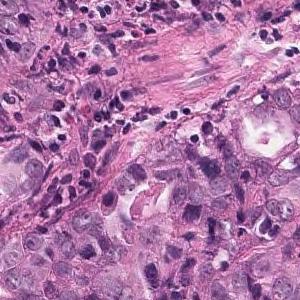
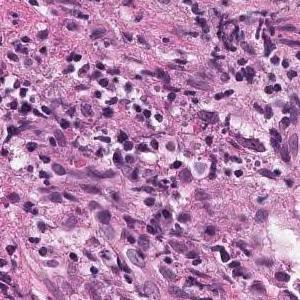
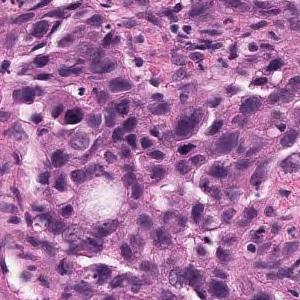
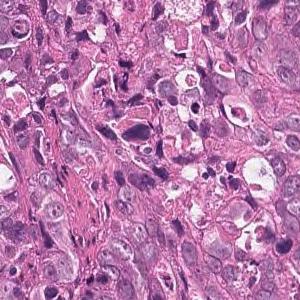
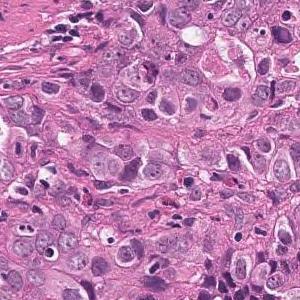
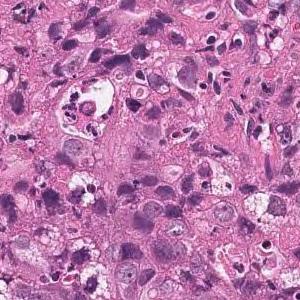
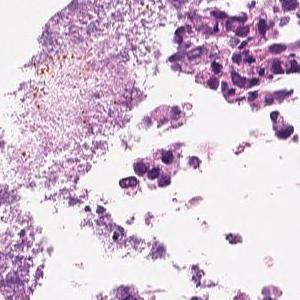
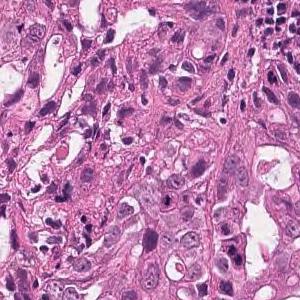
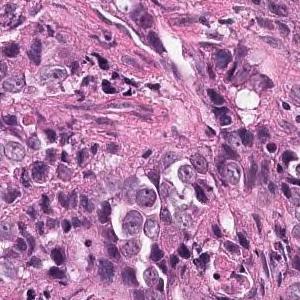
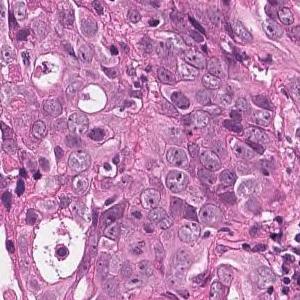
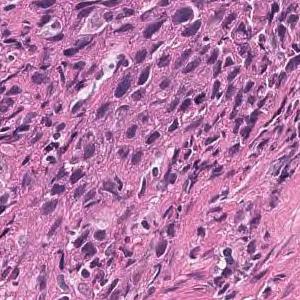
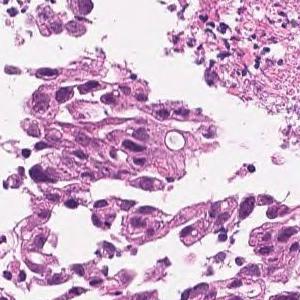
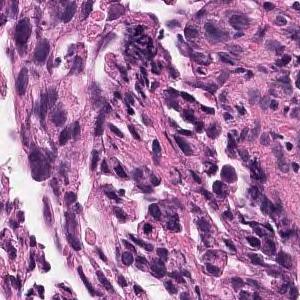
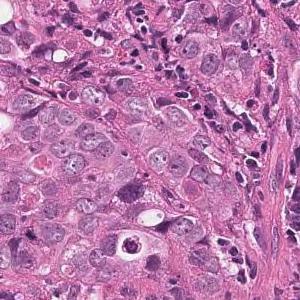
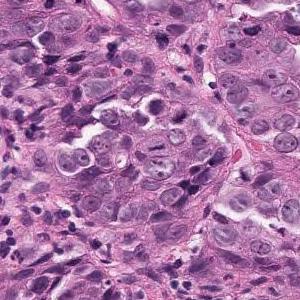
15 tiles cut from one stomach biopsy slide · 300×300 px each.
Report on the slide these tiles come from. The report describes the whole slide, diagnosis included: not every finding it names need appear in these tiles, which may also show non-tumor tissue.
Tumor tissue that infiltrates and proliferates with alveolar or cord-like structures with small glandular cavities in the superficial to submucosal layers is observed. moderately differentiated tubular adenocarcinoma
